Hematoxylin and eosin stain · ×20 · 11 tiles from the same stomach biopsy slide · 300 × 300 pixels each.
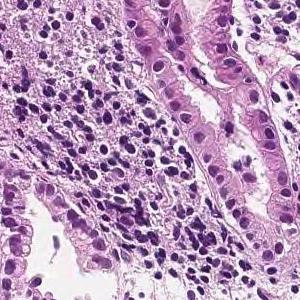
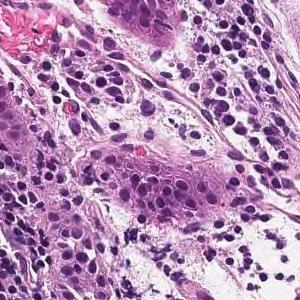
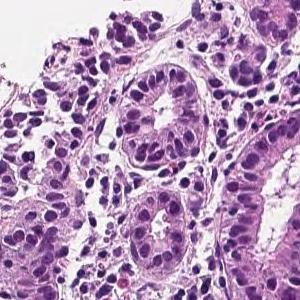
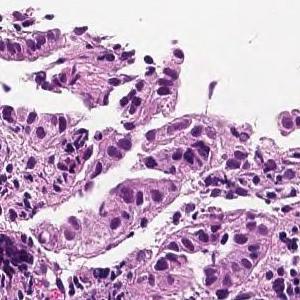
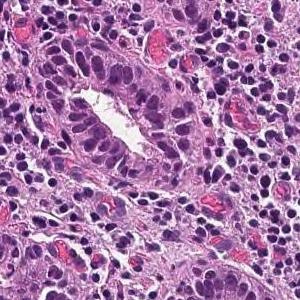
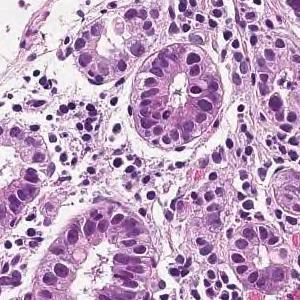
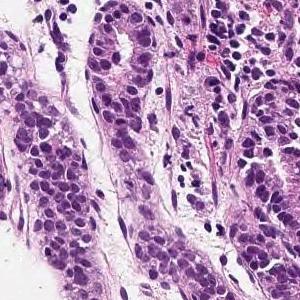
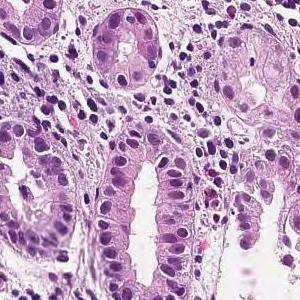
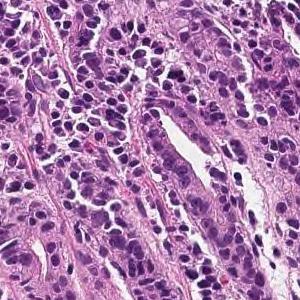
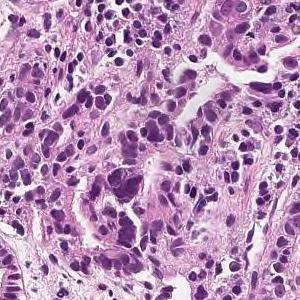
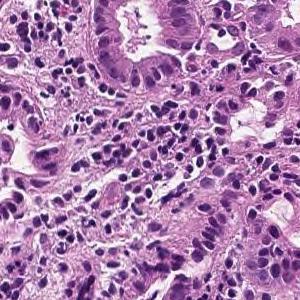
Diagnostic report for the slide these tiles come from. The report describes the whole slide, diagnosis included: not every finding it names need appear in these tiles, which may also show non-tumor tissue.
In the superficial epithelium, tumor tissue that invades by forming medium-sized to small, irregular ducts is observed. moderately differentiated tubular adenocarcinoma.
